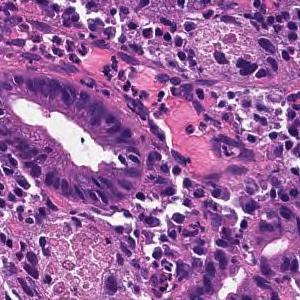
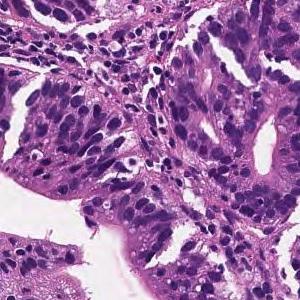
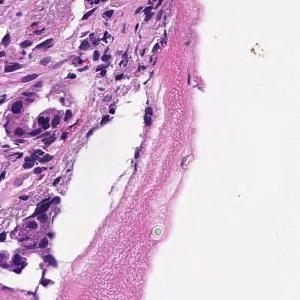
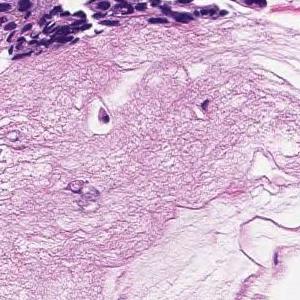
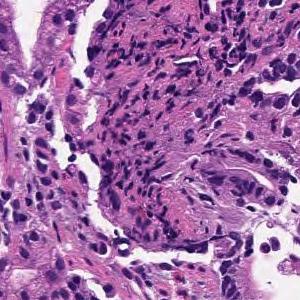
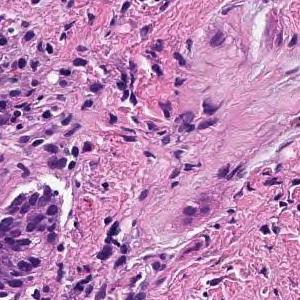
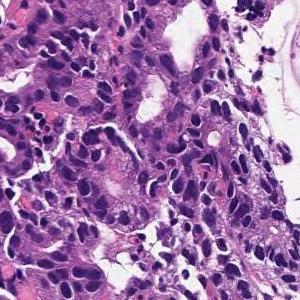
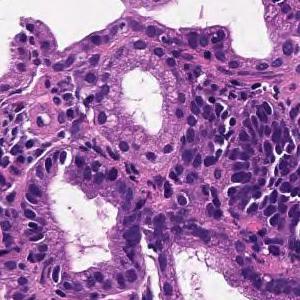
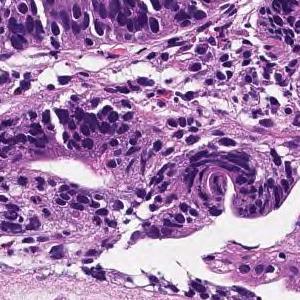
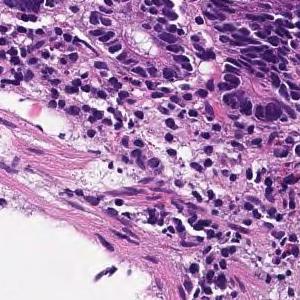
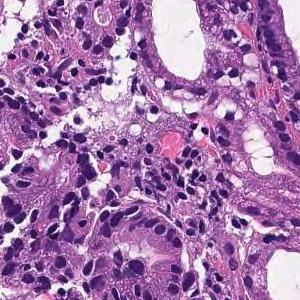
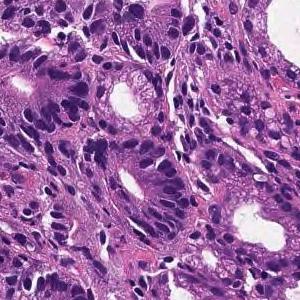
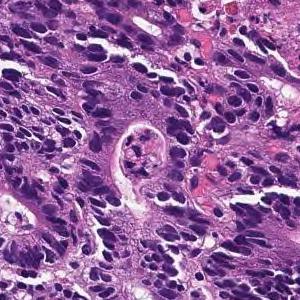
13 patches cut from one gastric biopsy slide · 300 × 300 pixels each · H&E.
Diagnostic report for the slide these tiles come from. The report and the diagnosis describe the slide as a whole, so these tiles may not show every feature named and may include non-tumor tissue.
In the superficial epithelium, tumor tissue that invades by forming medium-sized to small, irregular ducts is observed. moderately differentiated tubular adenocarcinoma.
